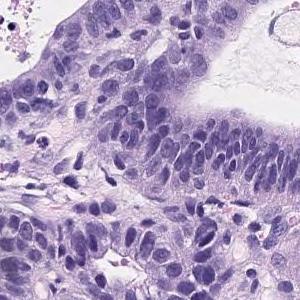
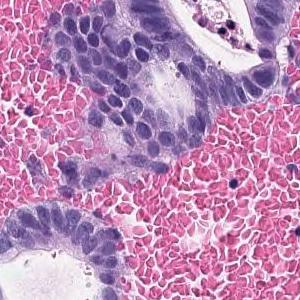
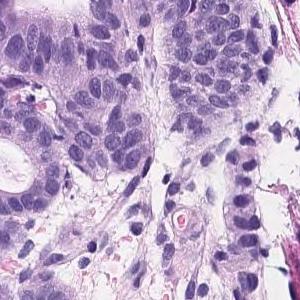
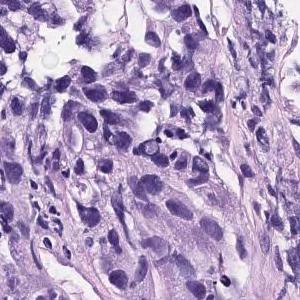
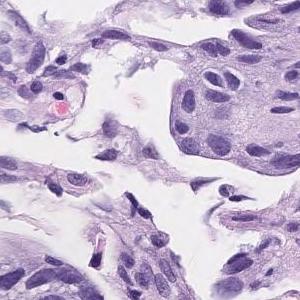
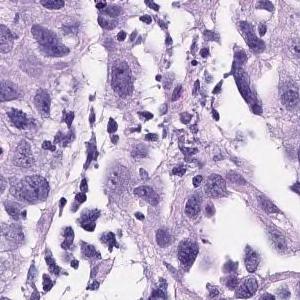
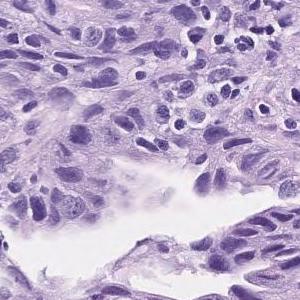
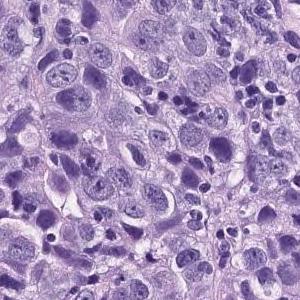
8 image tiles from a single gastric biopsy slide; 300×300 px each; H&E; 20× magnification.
Diagnostic report for the slide these tiles come from. The report and the diagnosis describe the slide as a whole, so these tiles may not show every feature named and may include non-tumor tissue.
The superficial epithelium shows a large sheet-like shape, and some tumor tissue infiltrates with small irregular ducts. Poorly differentiated adenocarcinoma, solid-type
Histologic type: Poorly differentiated adenocarcinoma, solid type, a category of the Japanese Classification of Gastric Carcinoma; in the WHO 2019 classification it is tubular adenocarcinoma, poorly differentiated.
